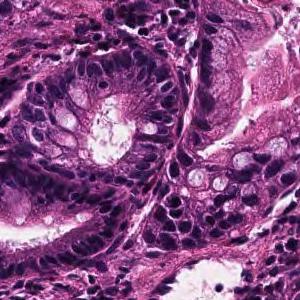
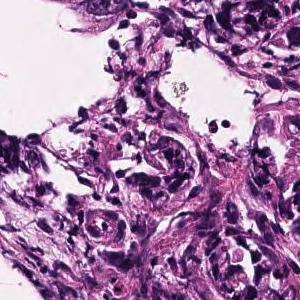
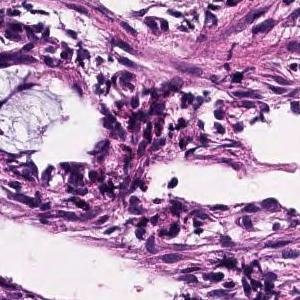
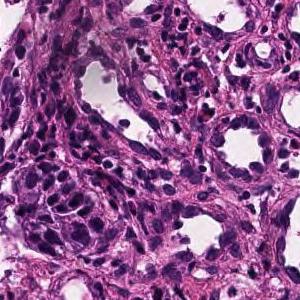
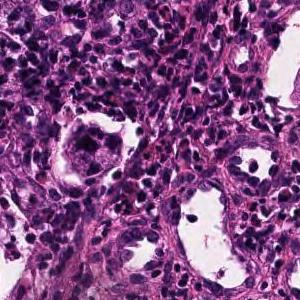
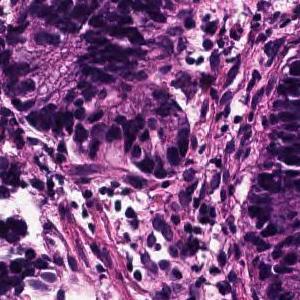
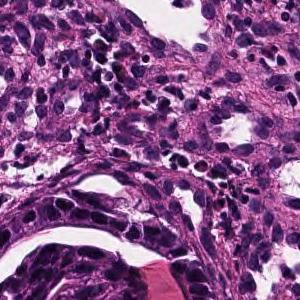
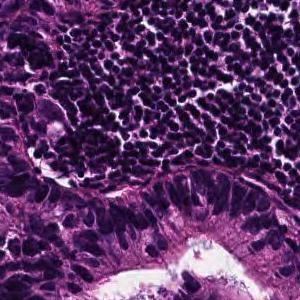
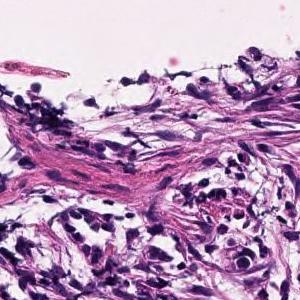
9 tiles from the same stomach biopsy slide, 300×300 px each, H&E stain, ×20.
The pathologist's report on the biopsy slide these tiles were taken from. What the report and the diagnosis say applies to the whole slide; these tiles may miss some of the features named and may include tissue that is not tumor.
On the superficial epithelium, tumor tissue consisting of large, irregular glandular ducts partially fused and infiltrated is observed. Well to moderately differentiated tubular adenocarcinoma (well differentiated tubular adenocarcinoma, moderately differentiated tubular adenocarcinoma)
Tumor subtype: well to moderately differentiated tubular adenocarcinoma.
